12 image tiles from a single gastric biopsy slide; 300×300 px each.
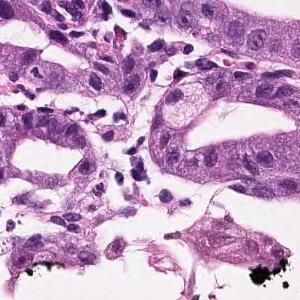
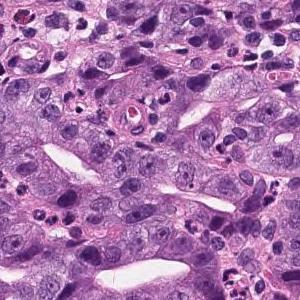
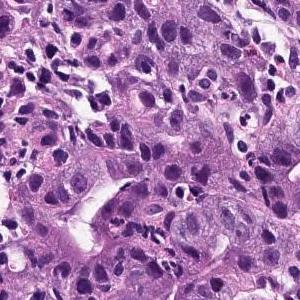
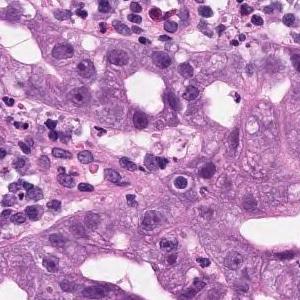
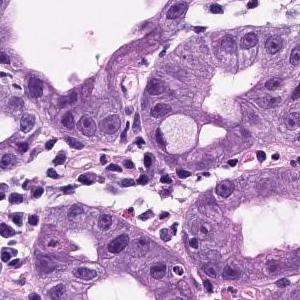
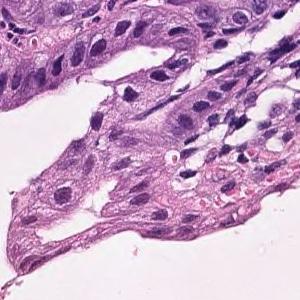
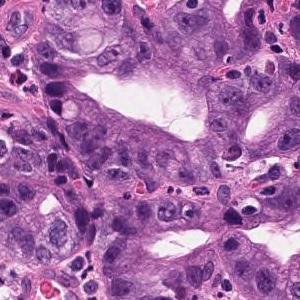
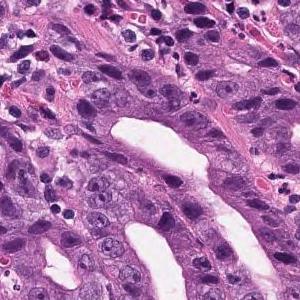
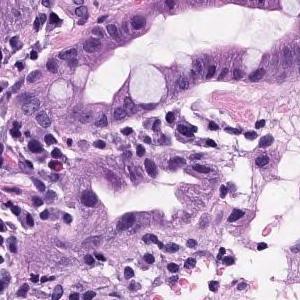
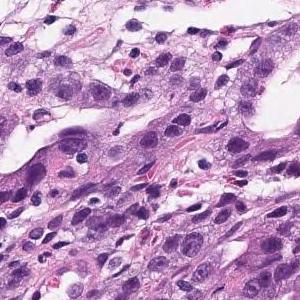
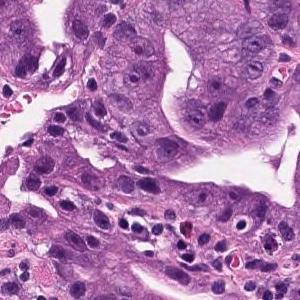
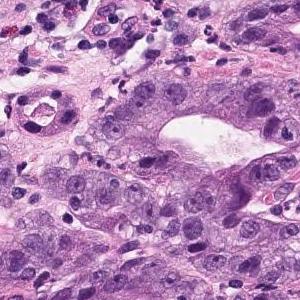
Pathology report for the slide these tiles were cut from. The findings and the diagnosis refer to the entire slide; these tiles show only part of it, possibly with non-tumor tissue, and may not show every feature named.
In the superficial epithelium, tumor tissue that invades by forming medium-sized to small, irregular ducts is observed. Well to moderately differentiated adenocarcinoma (well differentiated tubular adenocarcinoma, moderately differentiated tubular adenocarcinoma).
Subtype: Well to moderately differentiated tubular adenocarcinoma.
